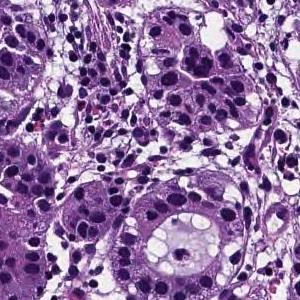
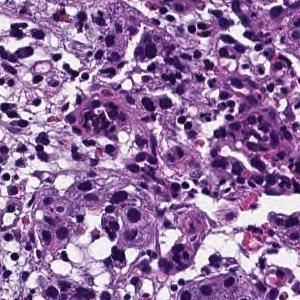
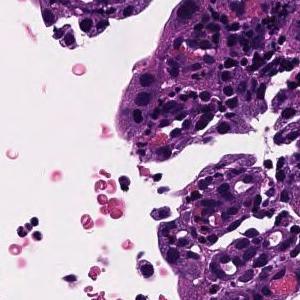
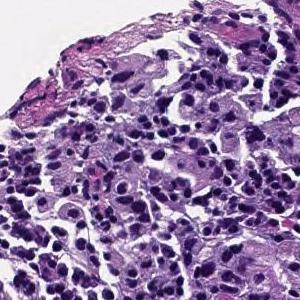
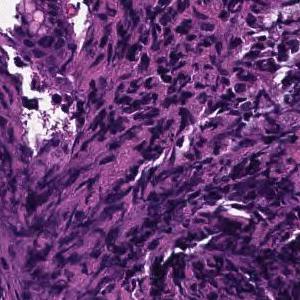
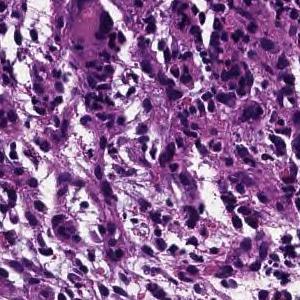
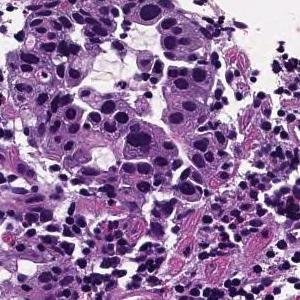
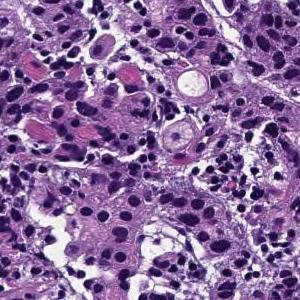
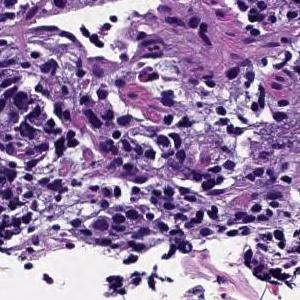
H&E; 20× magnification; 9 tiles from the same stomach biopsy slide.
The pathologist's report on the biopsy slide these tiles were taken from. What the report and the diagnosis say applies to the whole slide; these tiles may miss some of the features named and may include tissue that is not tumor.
Tumor tissue consisting of cord-like or small, irregular glandular ducts fused and infiltrated is observed in the superficial epithelium. Poorly differentiated adenocarcinoma, non-solid type
The non-solid type named here is a Japanese Classification of Gastric Carcinoma category.
